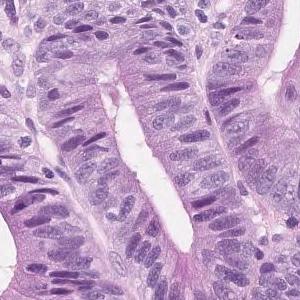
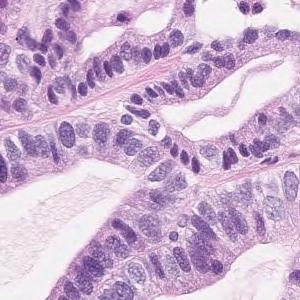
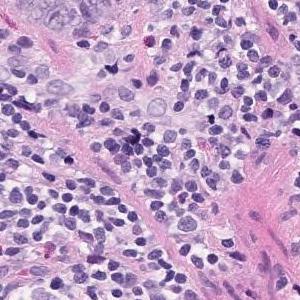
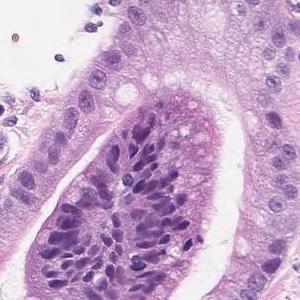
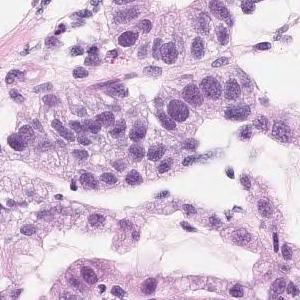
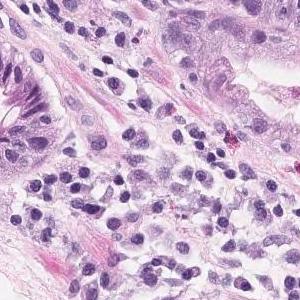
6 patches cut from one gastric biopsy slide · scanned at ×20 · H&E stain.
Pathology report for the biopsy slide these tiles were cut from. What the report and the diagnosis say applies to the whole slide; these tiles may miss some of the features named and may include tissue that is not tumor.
Short atypical epithelium with swelling of the nucleus shows proliferating, large and small irregular ductal structures. Well to moderately differentiated tubular adenocarcinoma (well differentiated tubular adenocarcinoma-moderately differentiated tubular adenocarcinoma)
Histological subtype: Well to moderately differentiated tubular adenocarcinoma.
